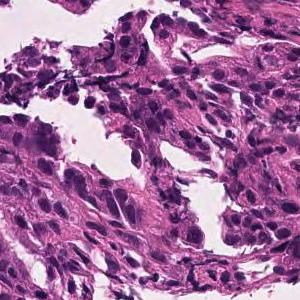
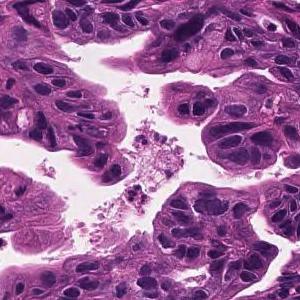
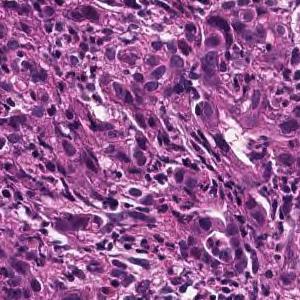
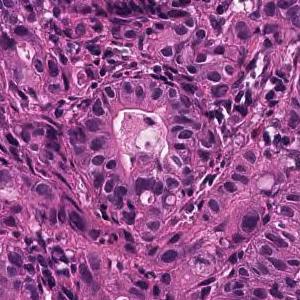
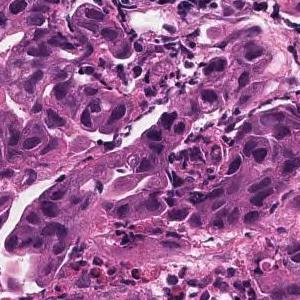
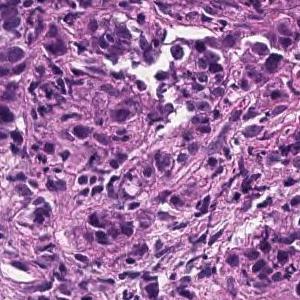
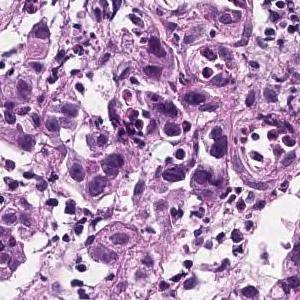
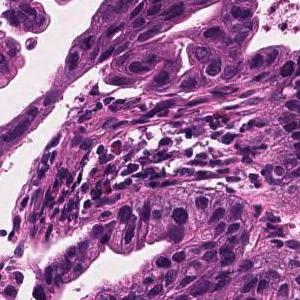
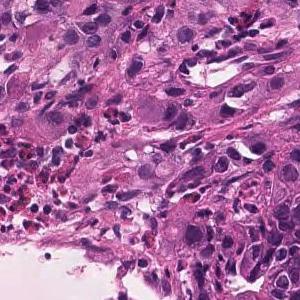
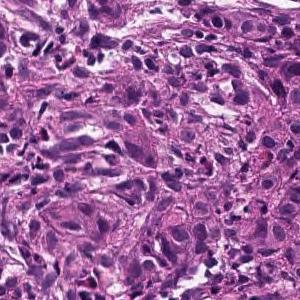
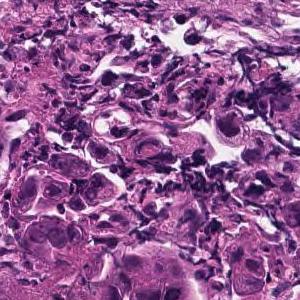
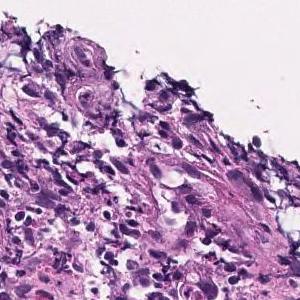
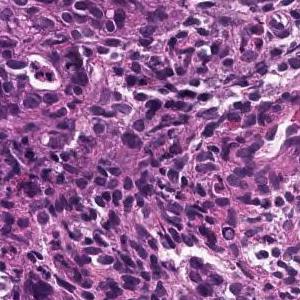
H&E stain; 20× magnification; 13 tiles cut from one stomach biopsy slide.
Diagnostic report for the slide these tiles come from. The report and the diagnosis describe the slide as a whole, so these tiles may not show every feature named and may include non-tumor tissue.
Tumor tissue consisting of medium-sized, cord-like or irregular glandular infiltration is observed in the superficial epithelium. Poorly differentiated adenocarcinoma, non-solid type or moderately differentiated tubular adenocarcinoma
"Non-solid type" is a category of the Japanese Classification of Gastric Carcinoma.
